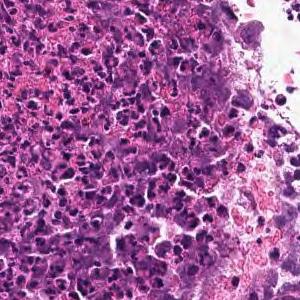
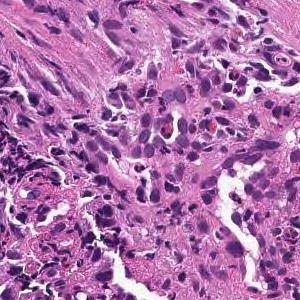
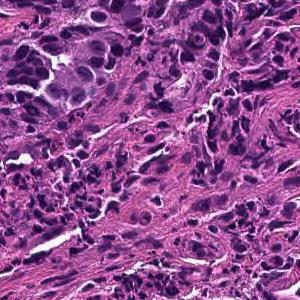
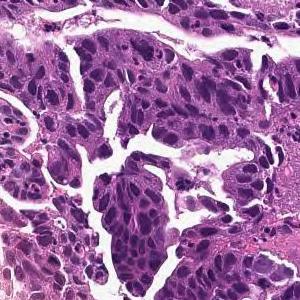
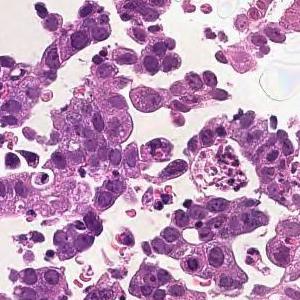
20× magnification · hematoxylin and eosin stain · 5 patches cut from one gastric biopsy slide.
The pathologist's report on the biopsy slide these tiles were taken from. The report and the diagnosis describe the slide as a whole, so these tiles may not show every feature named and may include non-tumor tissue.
In the superficial epithelium, tumor tissue that invades by forming medium-sized to small, irregular ducts is observed. moderately differentiated tubular adenocarcinoma.
